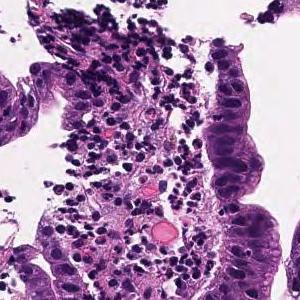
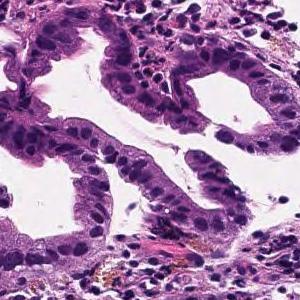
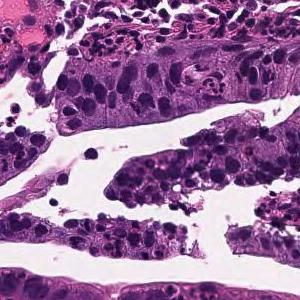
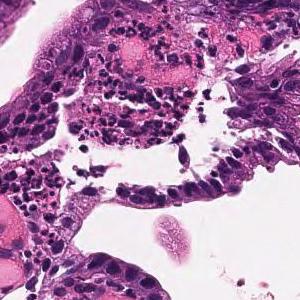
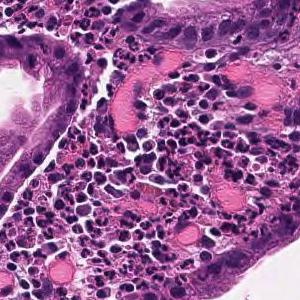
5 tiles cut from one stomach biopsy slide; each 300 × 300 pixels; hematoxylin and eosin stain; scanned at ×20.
Pathology report for the biopsy slide these tiles were cut from. What the report and the diagnosis say applies to the whole slide; these tiles may miss some of the features named and may include tissue that is not tumor.
From the superficial epithelium to the muscularis mucosae, tumor tissue consisting of medium-sized and irregular glandular ducts infiltrating is observed. Well differentiated tubular adenocarcinoma
